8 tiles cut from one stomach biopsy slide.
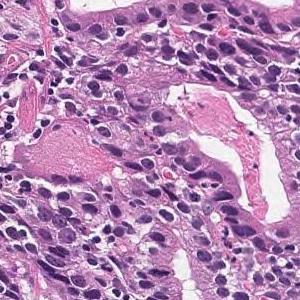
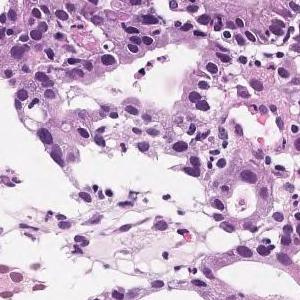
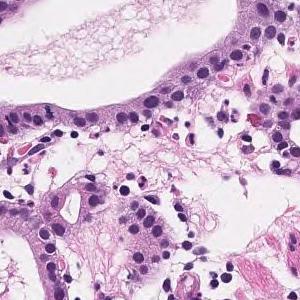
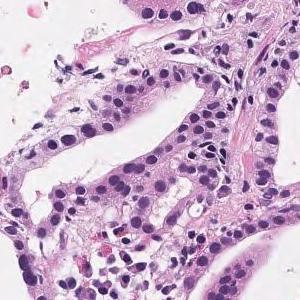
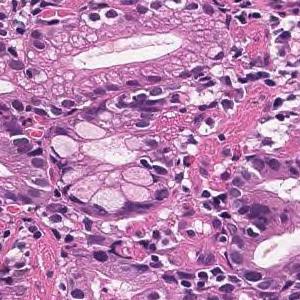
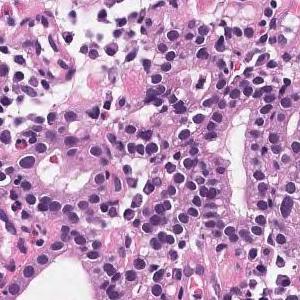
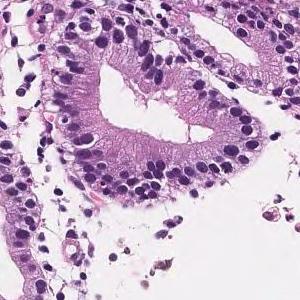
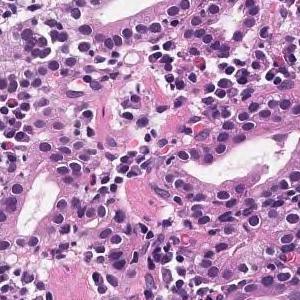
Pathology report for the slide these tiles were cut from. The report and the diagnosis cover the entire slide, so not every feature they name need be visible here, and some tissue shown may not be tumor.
Medium to small, irregular glandular ducts are formed in the superficial epithelium, and in some cases, the glandular ducts are fused to show solid alveolar lesions and infiltrating tumor tissue is observed. Moderately to poorly differentiated adenocarcinoma.
